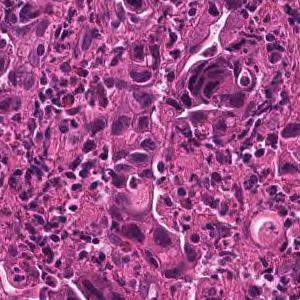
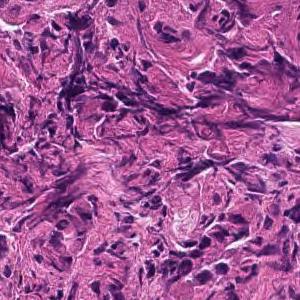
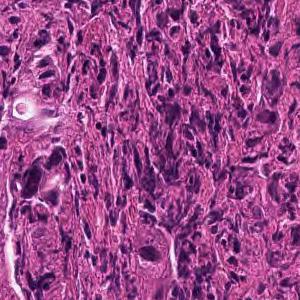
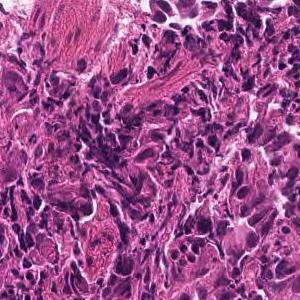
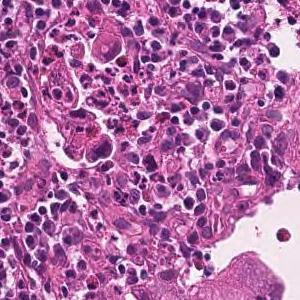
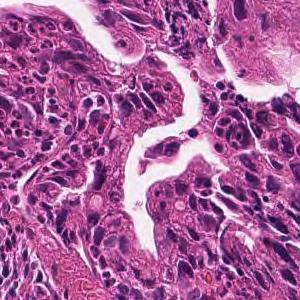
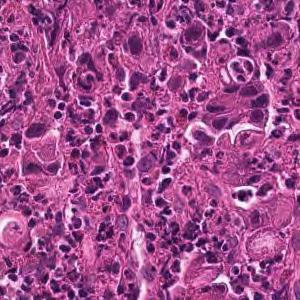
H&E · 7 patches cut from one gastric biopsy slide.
Pathology report for the biopsy slide these tiles were cut from. What the report and the diagnosis say applies to the whole slide; these tiles may miss some of the features named and may include tissue that is not tumor.
Medium to small, irregular glandular ducts are formed in the superficial epithelium, and in some cases, the glandular ducts are fused to show solid alveolar lesions and infiltrating tumor tissue is observed. Moderately to poorly differentiated adenocarcinoma.
